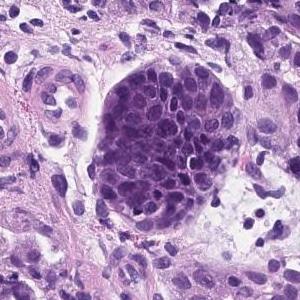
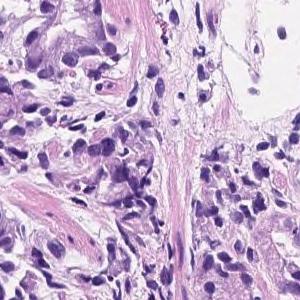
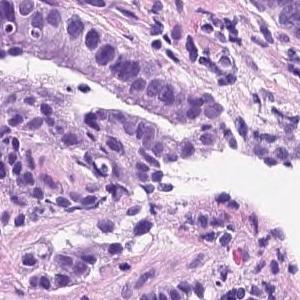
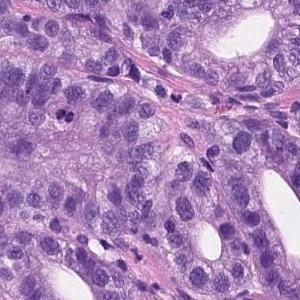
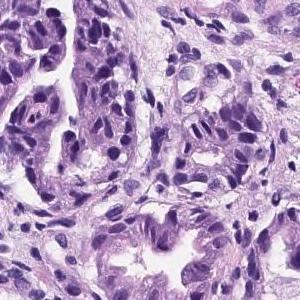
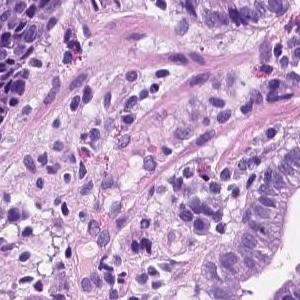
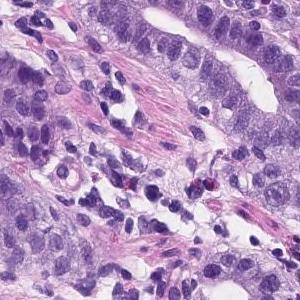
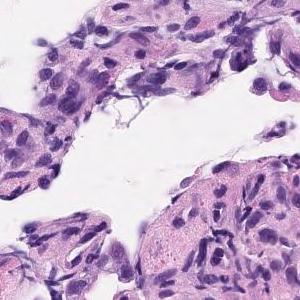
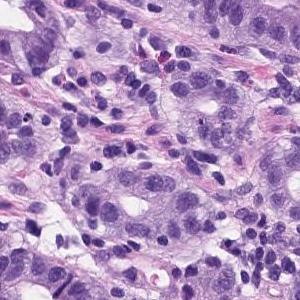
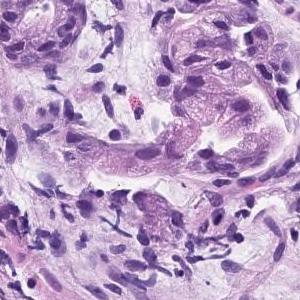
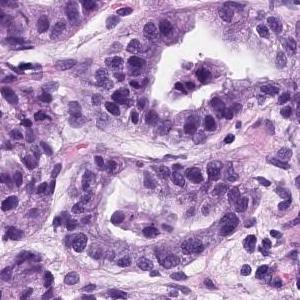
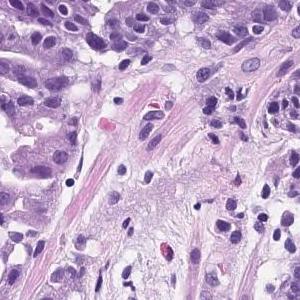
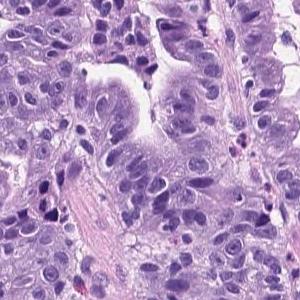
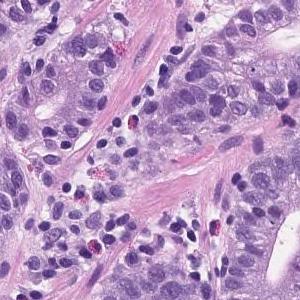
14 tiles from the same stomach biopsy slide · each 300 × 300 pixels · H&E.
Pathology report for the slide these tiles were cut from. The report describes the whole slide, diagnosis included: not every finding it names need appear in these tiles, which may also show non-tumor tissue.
Tumor tissue consisting of medium-sized and irregular ducts is observed infiltrating in the superficial epithelium. Tumor cells are highly columnar, with nuclei aligned basolaterally and polarized. Well differentiated tubular adenocarcinoma.
